10 image tiles from a single gastric biopsy slide.
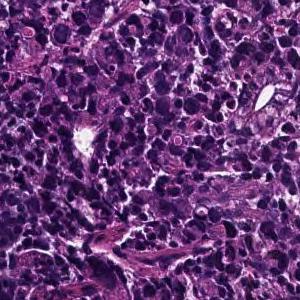
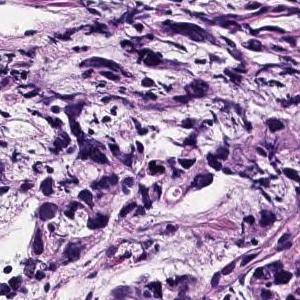
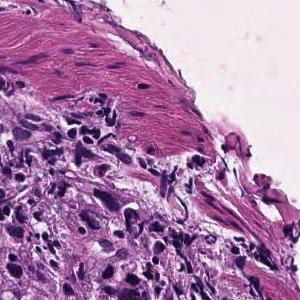
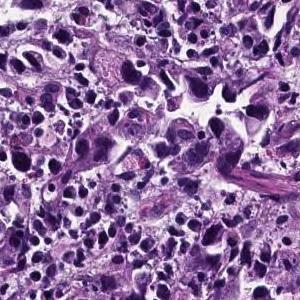
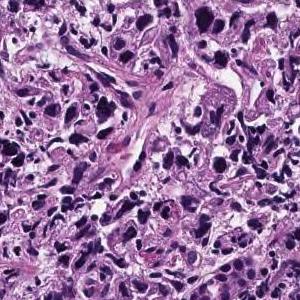
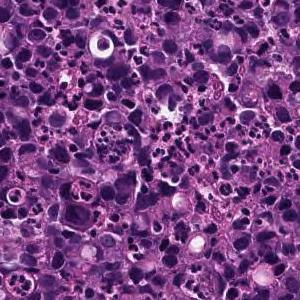
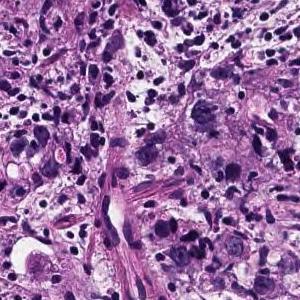
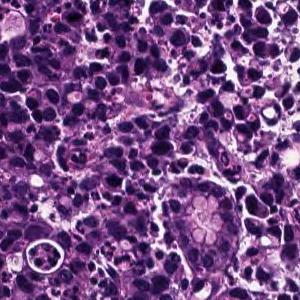
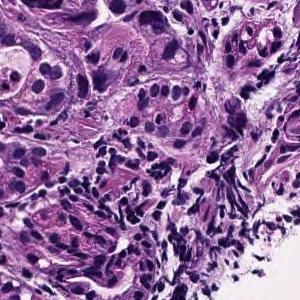
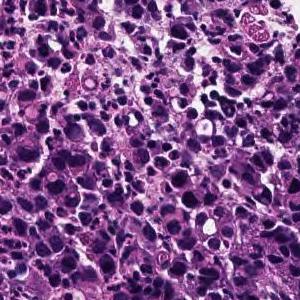
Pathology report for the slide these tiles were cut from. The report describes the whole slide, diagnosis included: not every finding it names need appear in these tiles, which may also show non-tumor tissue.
The superficial epithelium shows a large sheet-like shape, and some tumor tissue infiltrates with small irregular ducts. Poorly differentiated adenocarcinoma, solid-type
Subtype: Poorly differentiated adenocarcinoma, solid type (Japanese Classification of Gastric Carcinoma). The WHO 2019 equivalent is tubular adenocarcinoma, poorly differentiated.
